H&E stain; 15 tiles cut from one stomach biopsy slide; each 300 × 300 pixels.
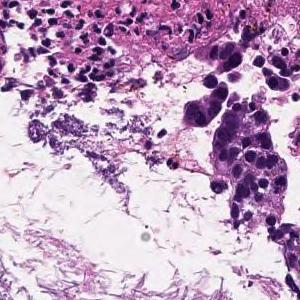
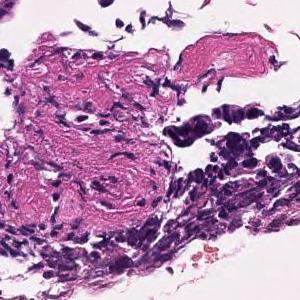
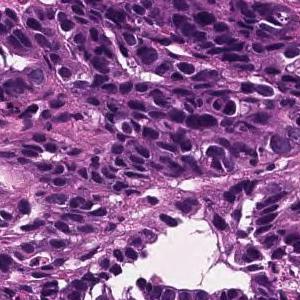
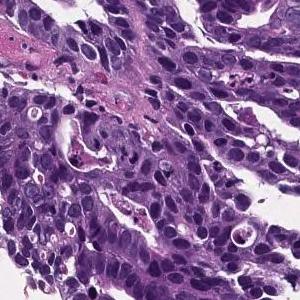
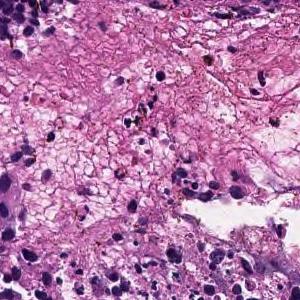
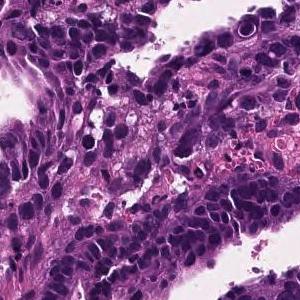
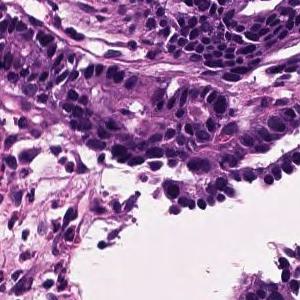
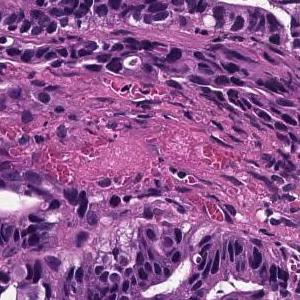
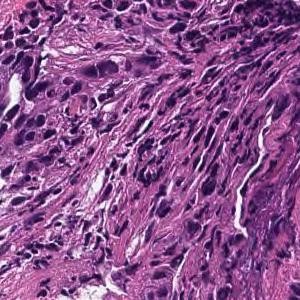
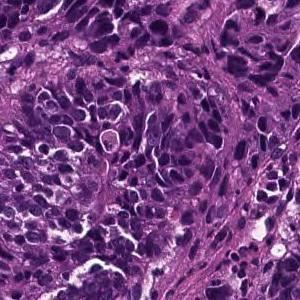
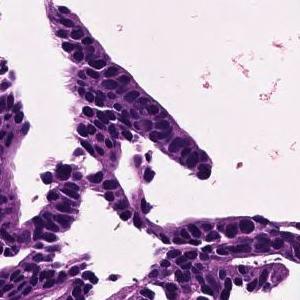
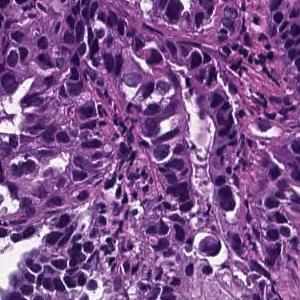
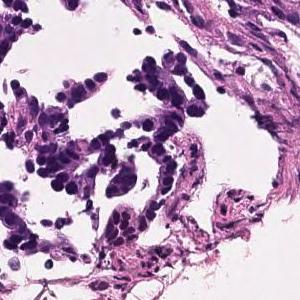
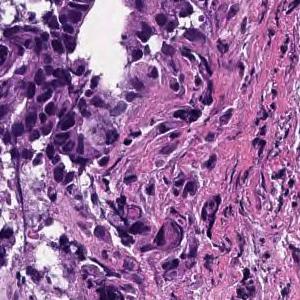
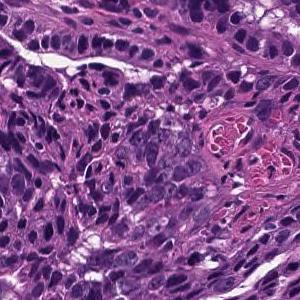
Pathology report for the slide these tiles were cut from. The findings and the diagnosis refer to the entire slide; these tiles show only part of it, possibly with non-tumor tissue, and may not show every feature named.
Tumor cells are large, highly columnar, large club-shaped nuclei, and are associated with chromatin aggregation. Papillary adenocarcinoma.
